Scanned at ×20, 10 tiles cut from one stomach biopsy slide, each 300 × 300 pixels.
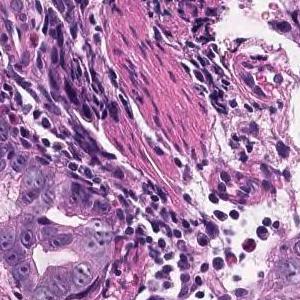
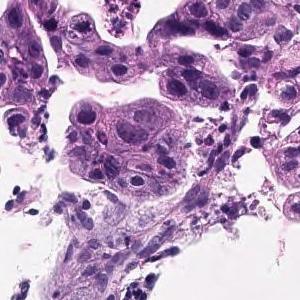
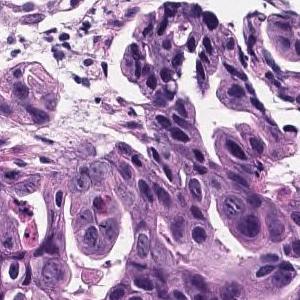
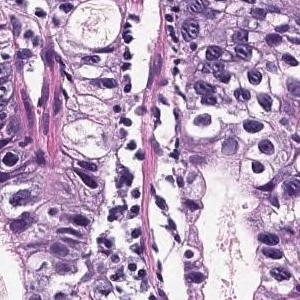
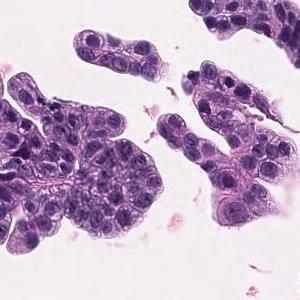
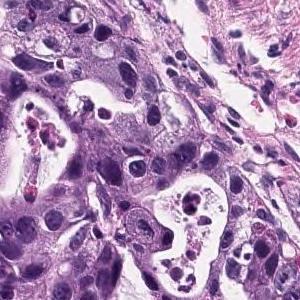
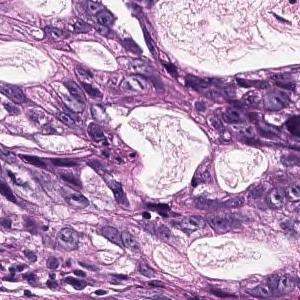
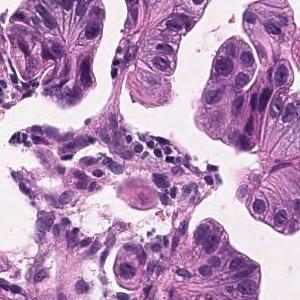
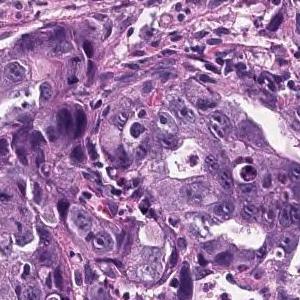
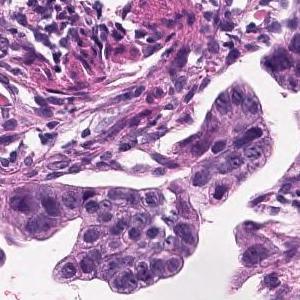
Diagnostic report for the slide these tiles come from. What the report and the diagnosis say applies to the whole slide; these tiles may miss some of the features named and may include tissue that is not tumor.
Tumor cells are large, highly columnar, large club-shaped nuclei, and are associated with chromatin aggregation. Papillary adenocarcinoma.
